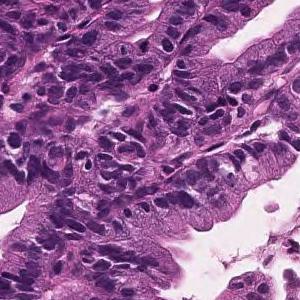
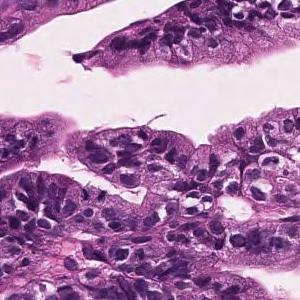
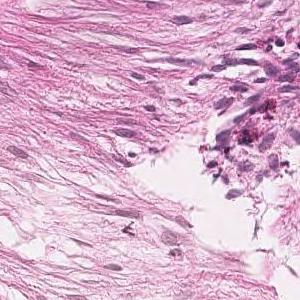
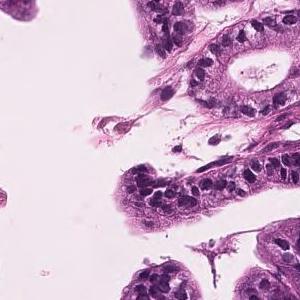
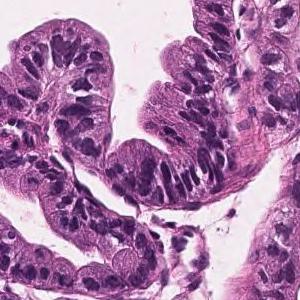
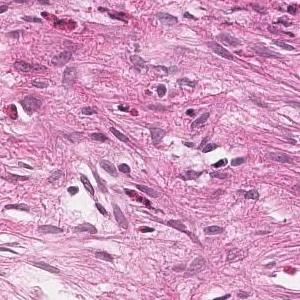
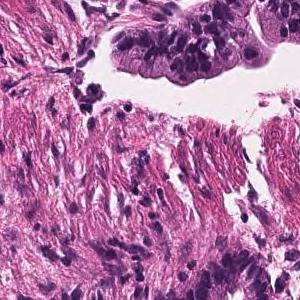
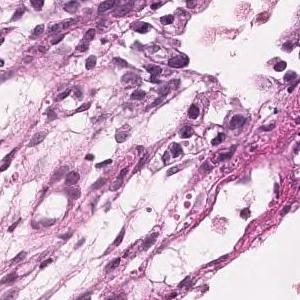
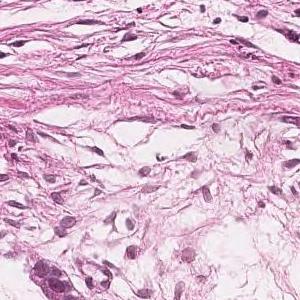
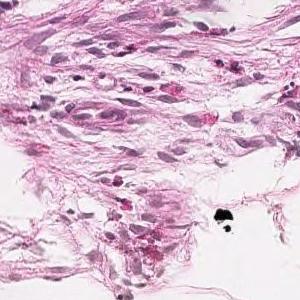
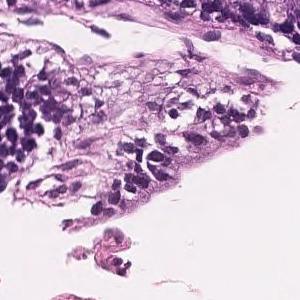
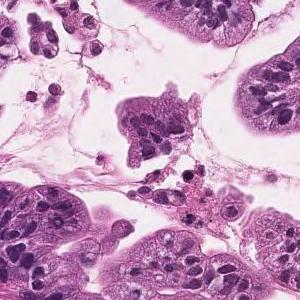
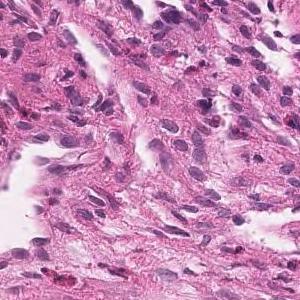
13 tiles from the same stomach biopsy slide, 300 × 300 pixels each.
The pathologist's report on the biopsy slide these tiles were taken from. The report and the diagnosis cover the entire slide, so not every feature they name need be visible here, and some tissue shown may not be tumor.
Tumor cells are large, highly columnar, large club-shaped nuclei, and are associated with chromatin aggregation. Papillary adenocarcinoma.
